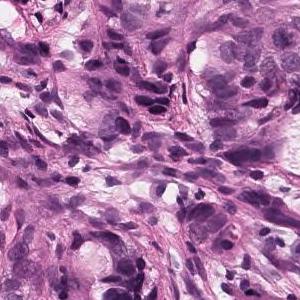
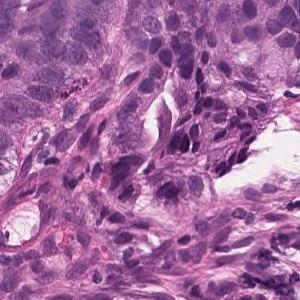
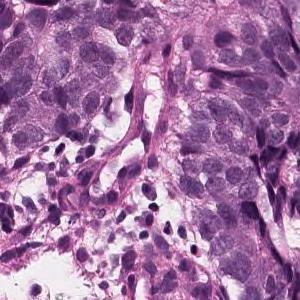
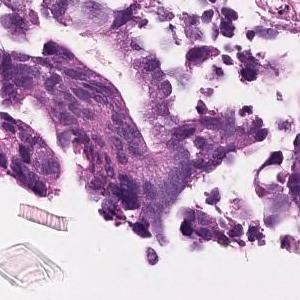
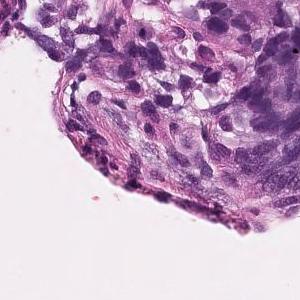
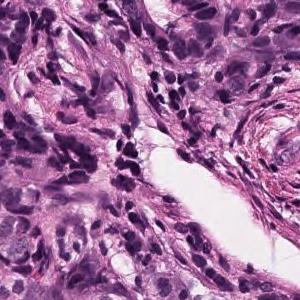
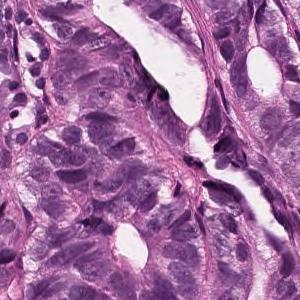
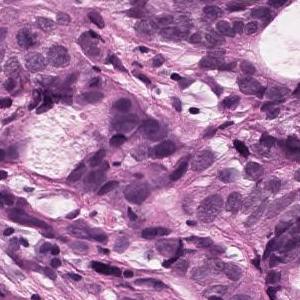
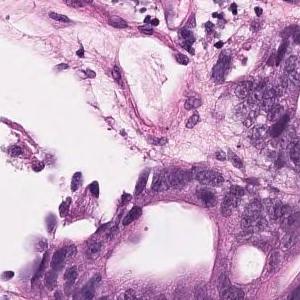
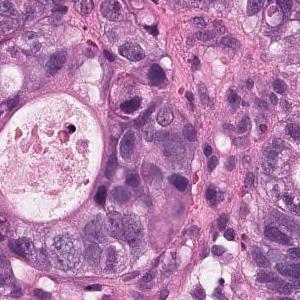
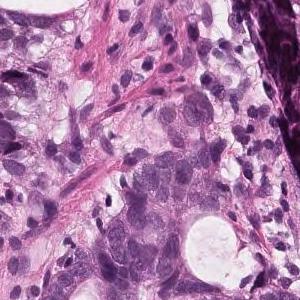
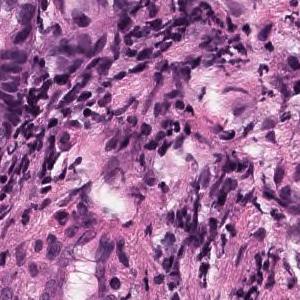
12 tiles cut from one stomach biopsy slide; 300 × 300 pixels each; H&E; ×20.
Pathology report for the slide these tiles were cut from. What the report and the diagnosis say applies to the whole slide; these tiles may miss some of the features named and may include tissue that is not tumor.
On the superficial epithelium, tumor tissue consisting of large, irregular glandular ducts partially fused and infiltrated is observed. Well to moderately differentiated tubular adenocarcinoma (well differentiated tubular adenocarcinoma, moderately differentiated tubular adenocarcinoma)
Tumor subtype: well to moderately differentiated tubular adenocarcinoma.
